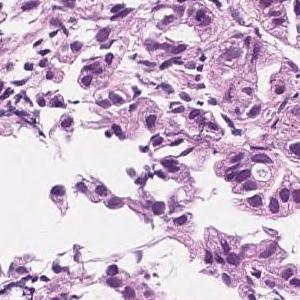
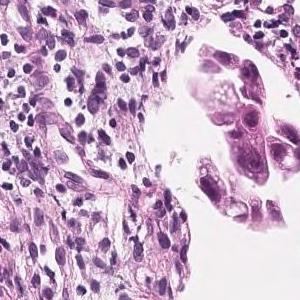
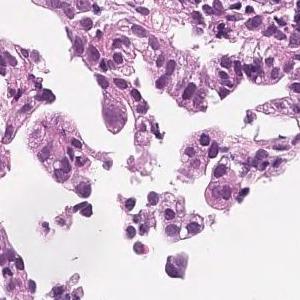
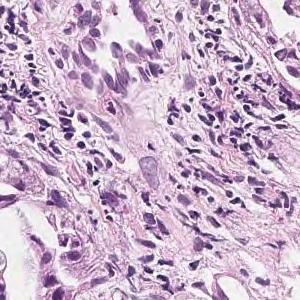
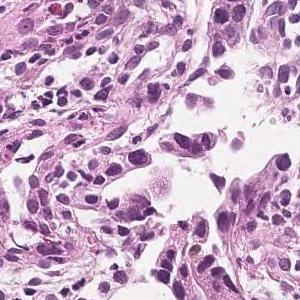
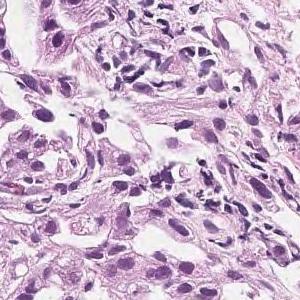
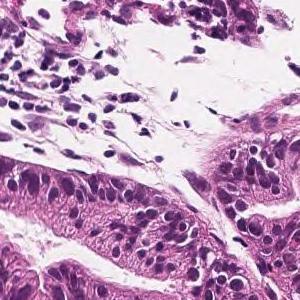
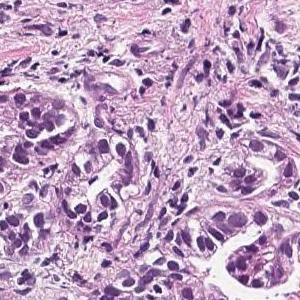
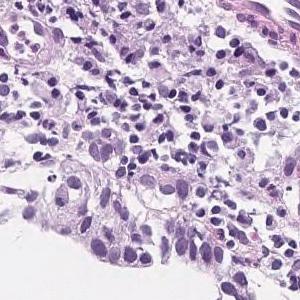
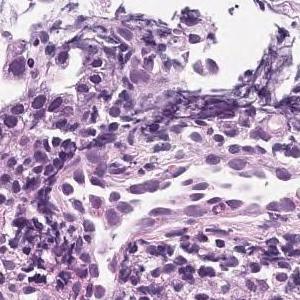
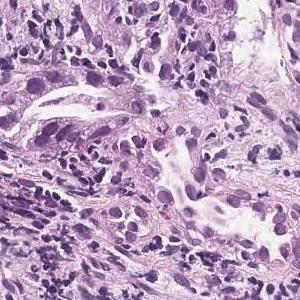
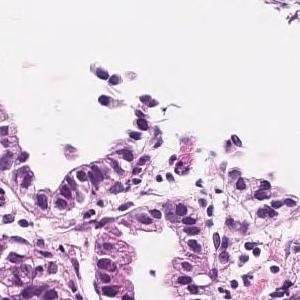
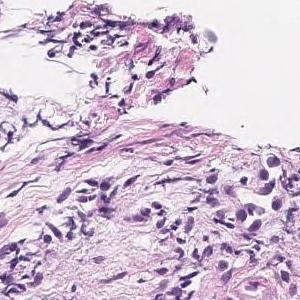
13 tiles cut from one stomach biopsy slide; ×20; H&E.
The pathologist's report on the biopsy slide these tiles were taken from. The findings and the diagnosis refer to the entire slide; these tiles show only part of it, possibly with non-tumor tissue, and may not show every feature named.
In the superficial epithelium, tumor tissue that invades by forming medium-sized to small, irregular ducts is observed. moderately differentiated tubular adenocarcinoma.
